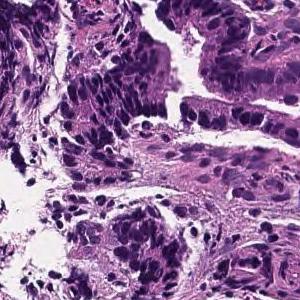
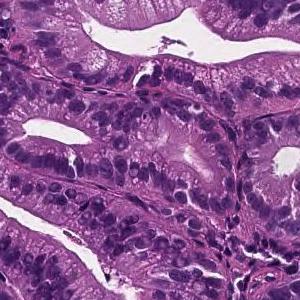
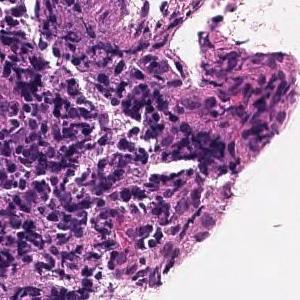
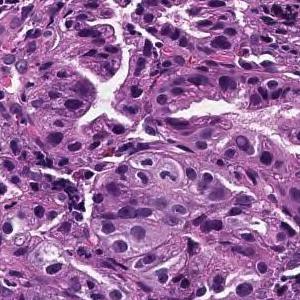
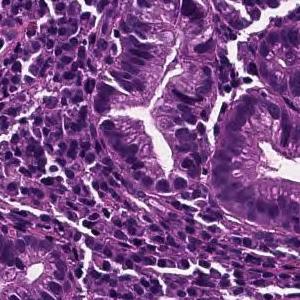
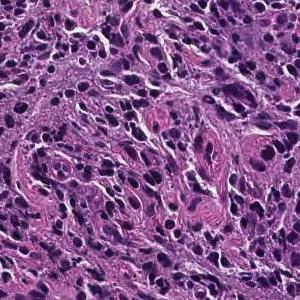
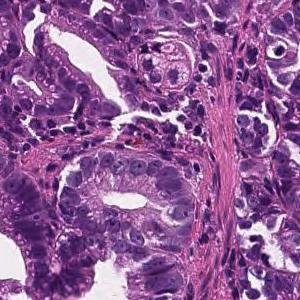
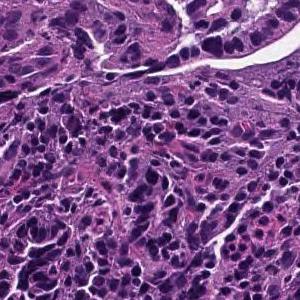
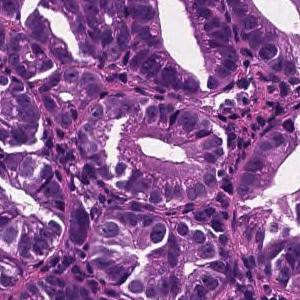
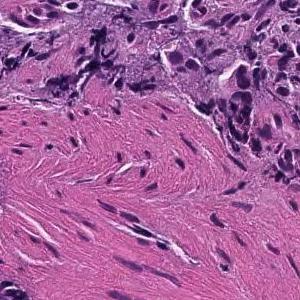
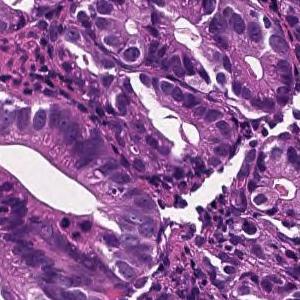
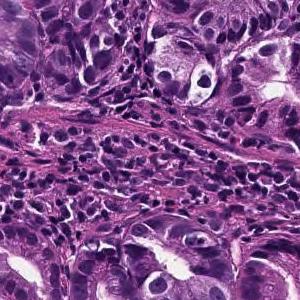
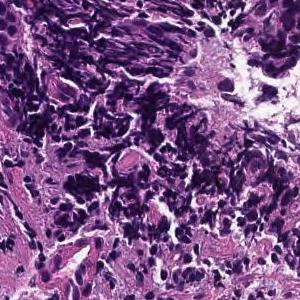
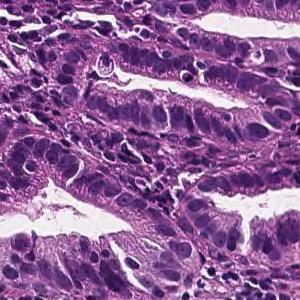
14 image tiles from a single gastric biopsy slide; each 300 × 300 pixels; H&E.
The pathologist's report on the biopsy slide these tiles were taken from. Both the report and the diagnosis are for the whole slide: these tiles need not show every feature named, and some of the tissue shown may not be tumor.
On the superficial epithelium, tumor tissue consisting of large irregular glandular ducts partially fused and infiltrated is observed. Well to moderately differentiated tubular adenocarcinoma (well differentiated tubular adenocarcinoma, moderately differentiated tubular adenocarcinoma)
Subtype: Well to moderately differentiated tubular adenocarcinoma.
